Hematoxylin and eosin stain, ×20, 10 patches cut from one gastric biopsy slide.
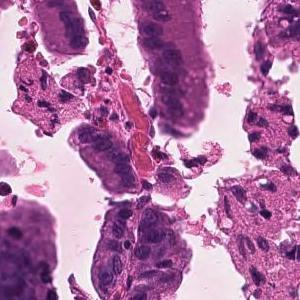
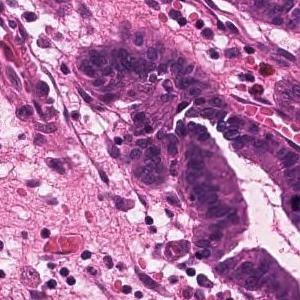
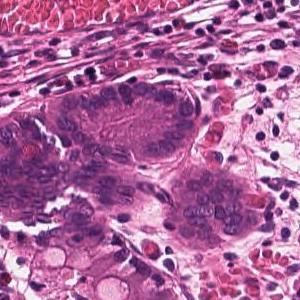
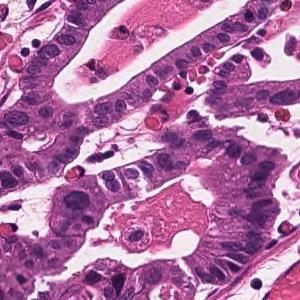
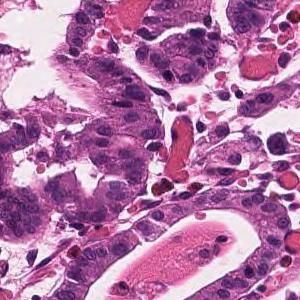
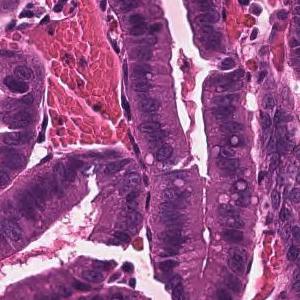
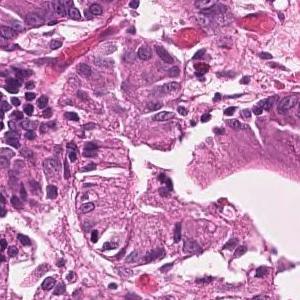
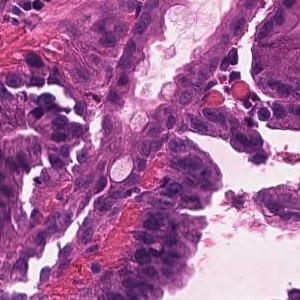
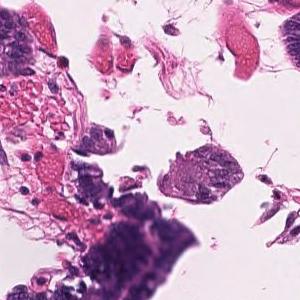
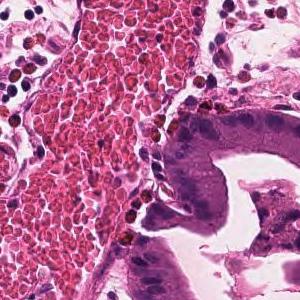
The pathologist's report on the biopsy slide these tiles were taken from. What the report and the diagnosis say applies to the whole slide; these tiles may miss some of the features named and may include tissue that is not tumor.
Infiltrating tumor tissue with medium-sized, irregular ductal structure or large papillary appearance is observed. Well differentiated tubular adenocarcinoma
